7 tiles cut from one stomach biopsy slide · 300 × 300 pixels each.
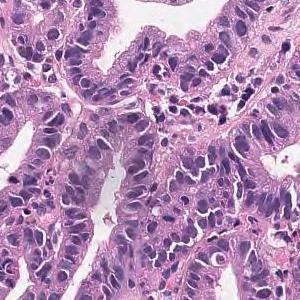
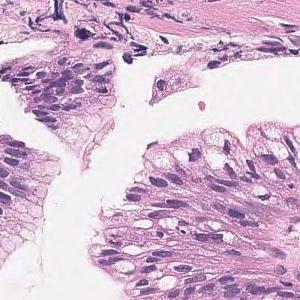
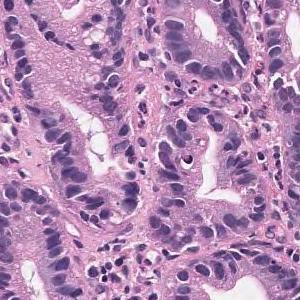
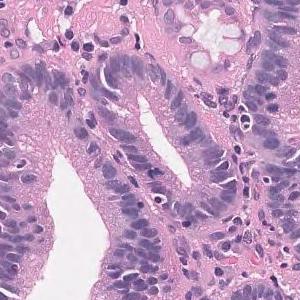
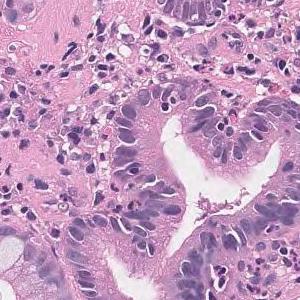
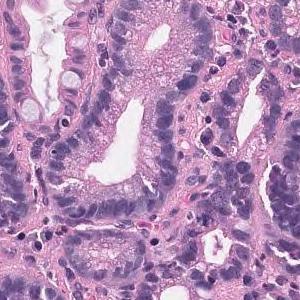
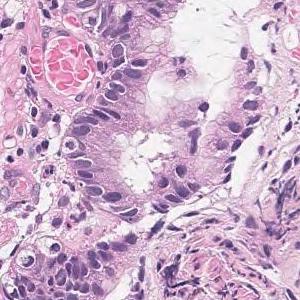
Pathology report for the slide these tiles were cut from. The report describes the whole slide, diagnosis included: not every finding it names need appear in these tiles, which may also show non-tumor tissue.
Tumor tissue that grows tubular from the surface to the glandular fossa is seen. Adenocarcinoma.
Subtype: Well differentiated tubular adenocarcinoma.
